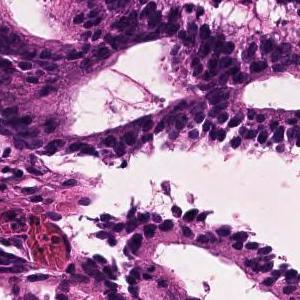
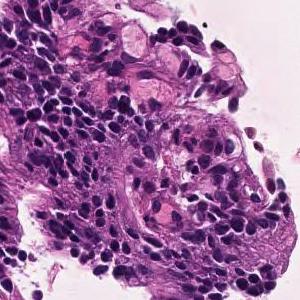
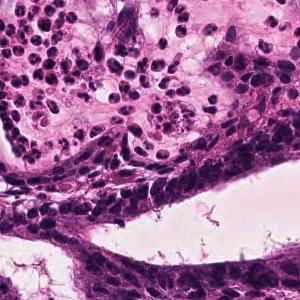
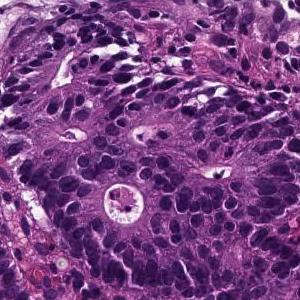
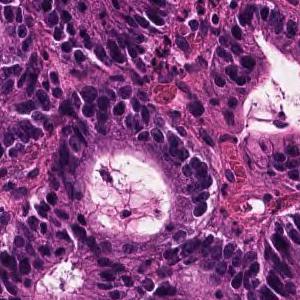
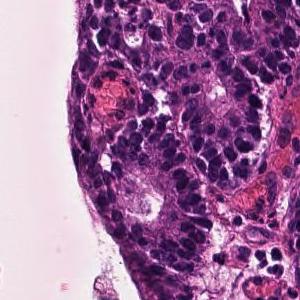
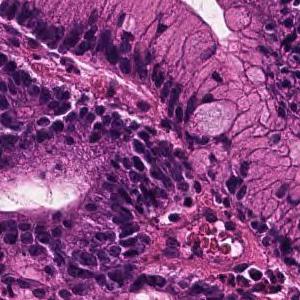
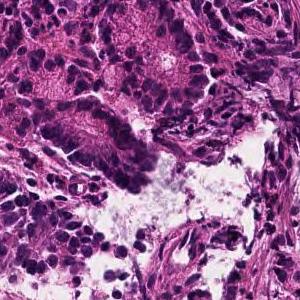
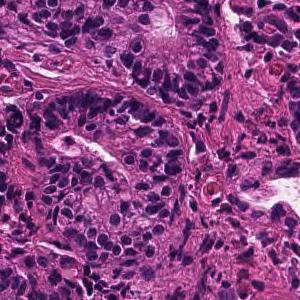
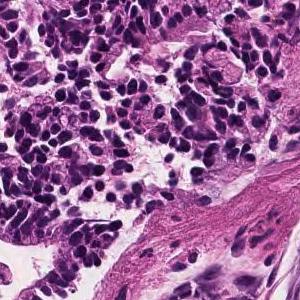
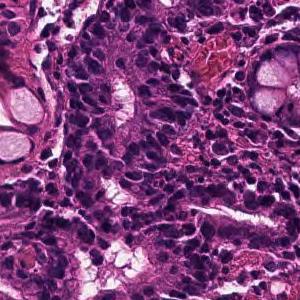
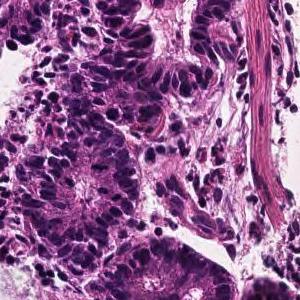
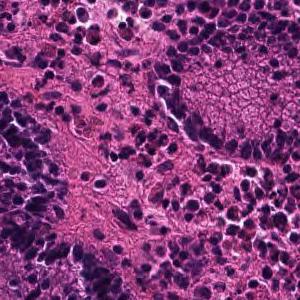
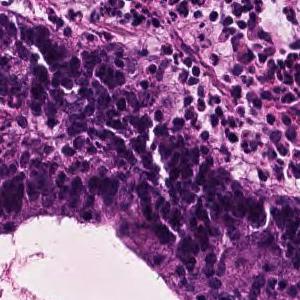
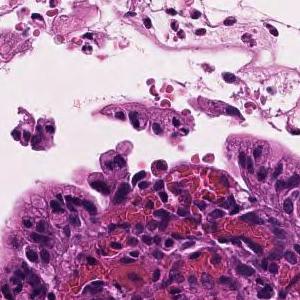
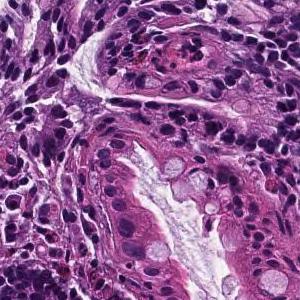
20× magnification, 16 tiles cut from one stomach biopsy slide, 300×300 px each.
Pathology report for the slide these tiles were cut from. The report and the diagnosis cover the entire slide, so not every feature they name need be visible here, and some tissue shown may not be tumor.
In the superficial epithelium, tumor tissue that invades by forming medium-sized to small, irregular ducts is observed. moderately differentiated tubular adenocarcinoma.
